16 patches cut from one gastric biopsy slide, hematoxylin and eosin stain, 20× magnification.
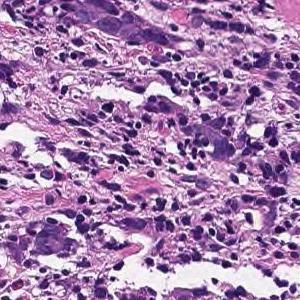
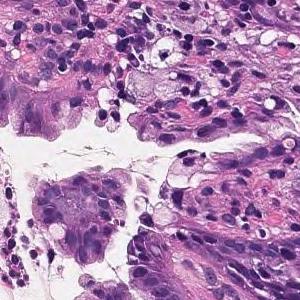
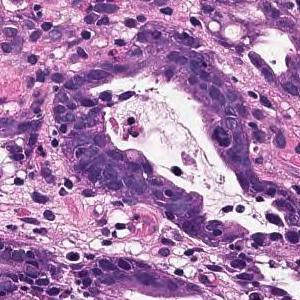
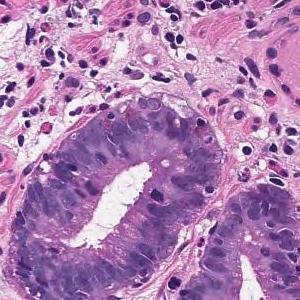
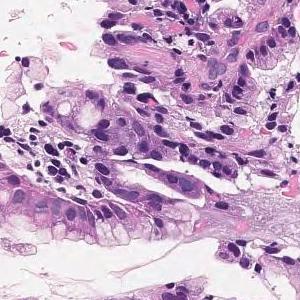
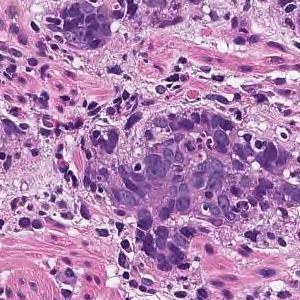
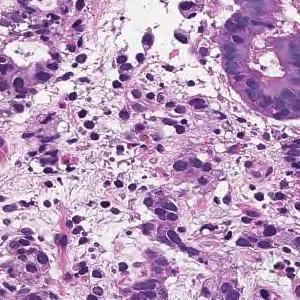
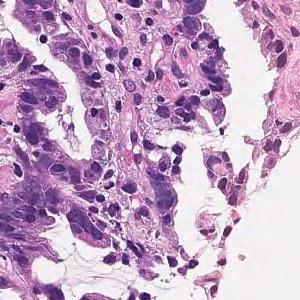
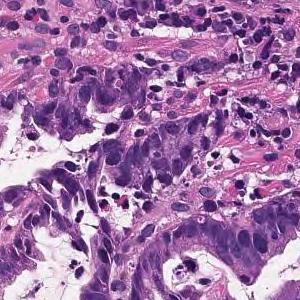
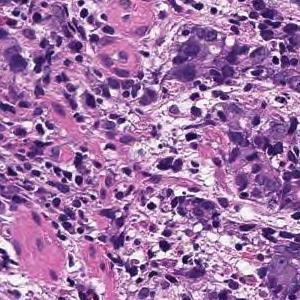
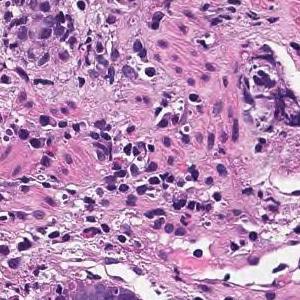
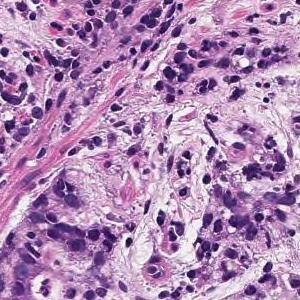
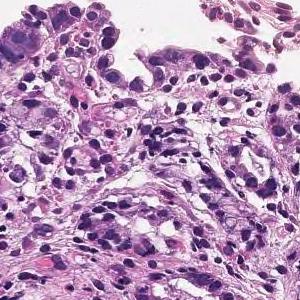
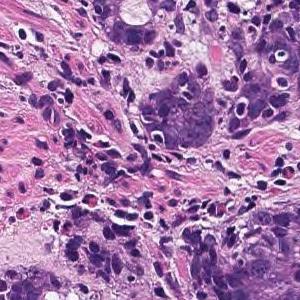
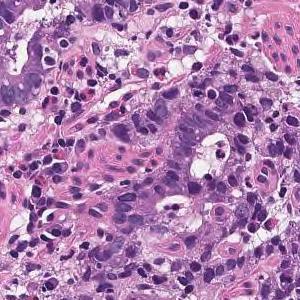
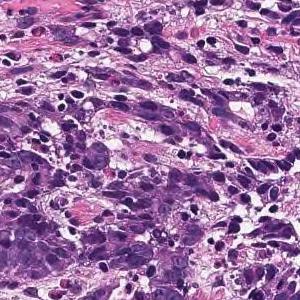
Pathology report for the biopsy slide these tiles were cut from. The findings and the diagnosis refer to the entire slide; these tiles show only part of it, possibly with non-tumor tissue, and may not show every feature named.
Tumor tissue consisting of cord-like or small, irregular glandular ducts fused and infiltrated is observed in the superficial epithelium. Poorly differentiated adenocarcinoma, non-solid type
The non-solid type named here is a Japanese Classification of Gastric Carcinoma category.
